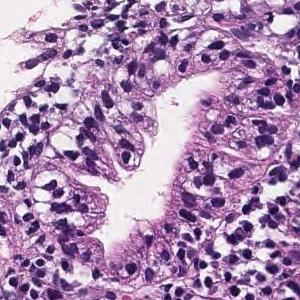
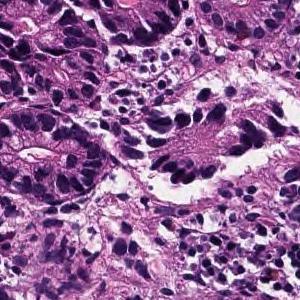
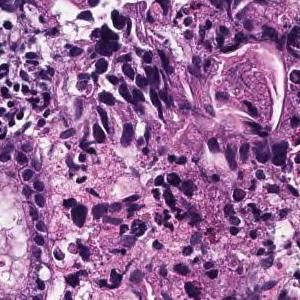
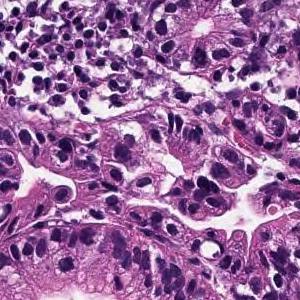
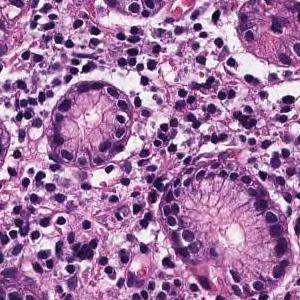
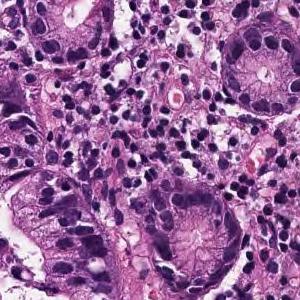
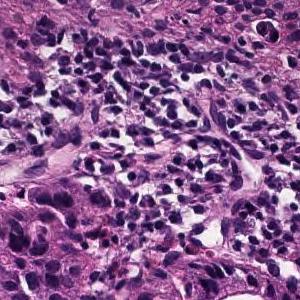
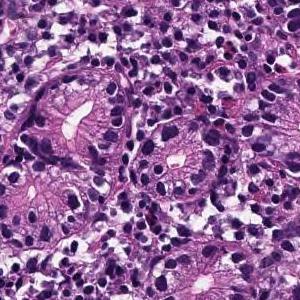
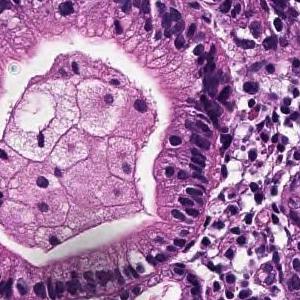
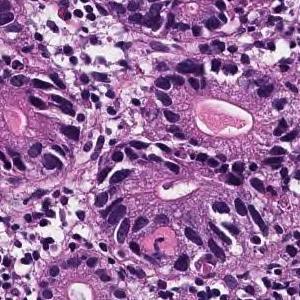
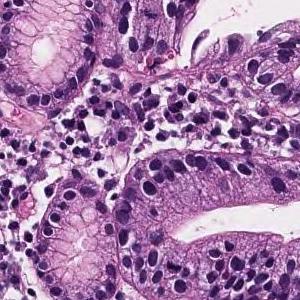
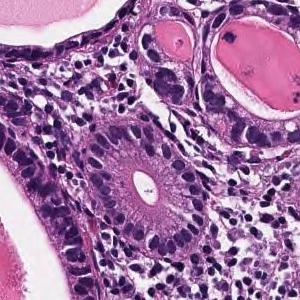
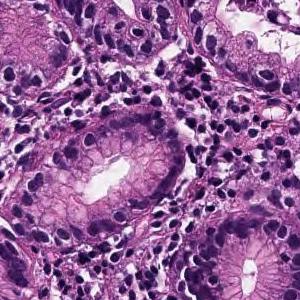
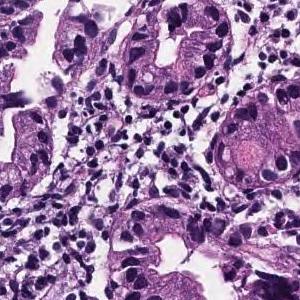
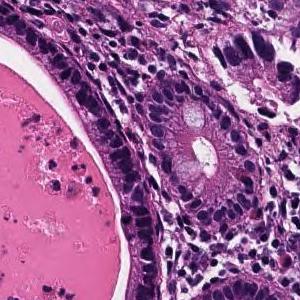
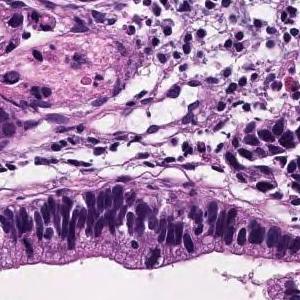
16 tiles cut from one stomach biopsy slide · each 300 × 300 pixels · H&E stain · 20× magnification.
Report on the slide these tiles come from. The report and the diagnosis describe the slide as a whole, so these tiles may not show every feature named and may include non-tumor tissue.
From the superficial epithelium to the muscularis mucosae, tumor tissue consisting of medium-sized and irregular glandular ducts infiltrating is observed. Well differentiated tubular adenocarcinoma
